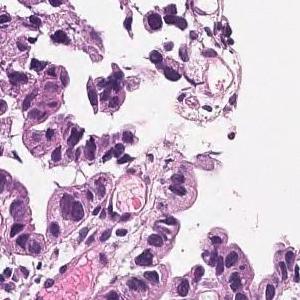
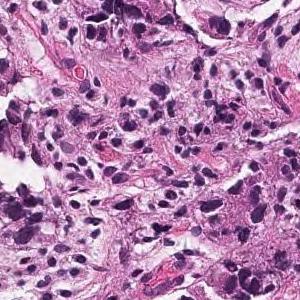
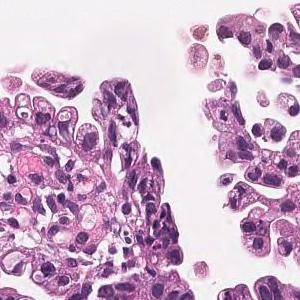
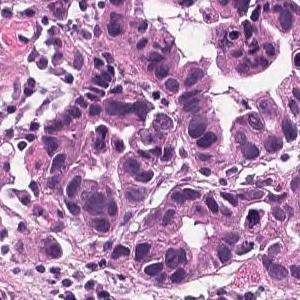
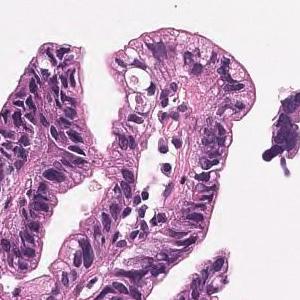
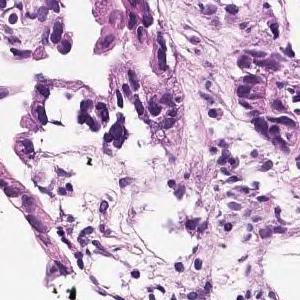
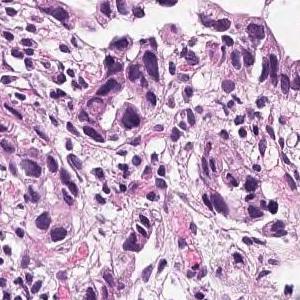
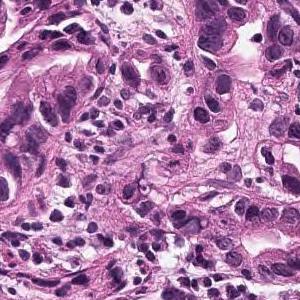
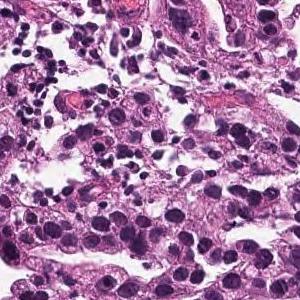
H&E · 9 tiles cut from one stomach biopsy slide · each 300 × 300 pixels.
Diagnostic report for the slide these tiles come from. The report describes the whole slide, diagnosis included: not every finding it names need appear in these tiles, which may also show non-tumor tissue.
Medium to small, irregular glandular ducts are formed in the superficial epithelium, and in some cases, the glandular ducts are fused to show solid alveolar lesions and infiltrating tumor tissue is observed. Moderately to poorly differentiated adenocarcinoma.
